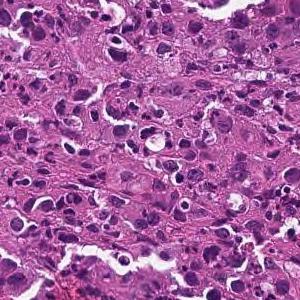
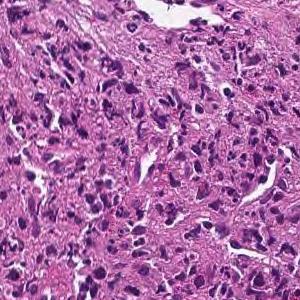
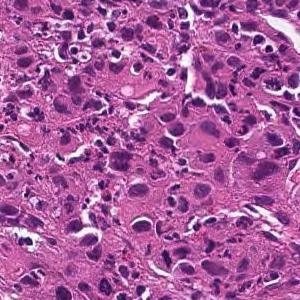
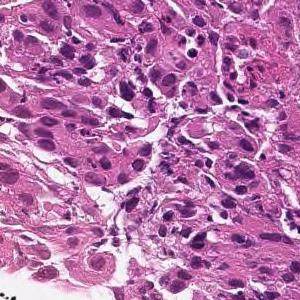
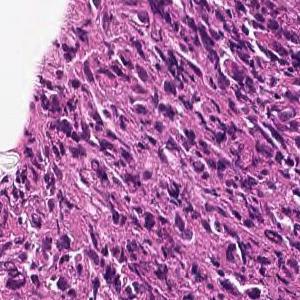
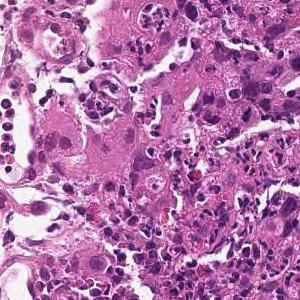
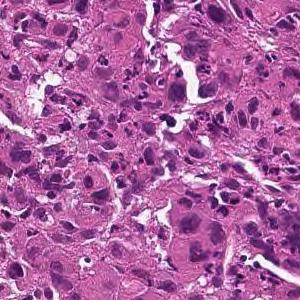
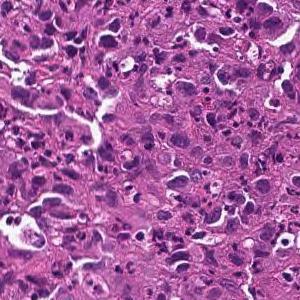
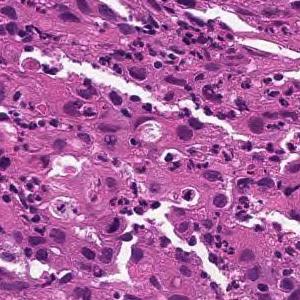
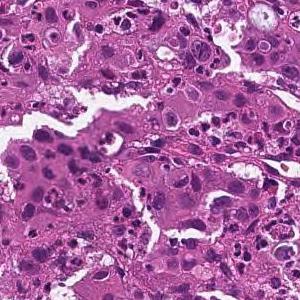
20× magnification, 10 image tiles from a single gastric biopsy slide.
Pathology report for the biopsy slide these tiles were cut from. The report and the diagnosis cover the entire slide, so not every feature they name need be visible here, and some tissue shown may not be tumor.
The superficial epithelium shows a large sheet-like shape, and some tumor tissue infiltrates with small irregular ducts. Poorly differentiated adenocarcinoma, solid-type
Tumor subtype: poorly differentiated adenocarcinoma, solid type. This name comes from the Japanese Classification of Gastric Carcinoma; the WHO 2019 classification calls it tubular adenocarcinoma, poorly differentiated.
